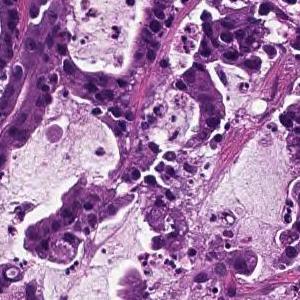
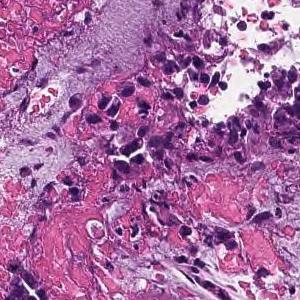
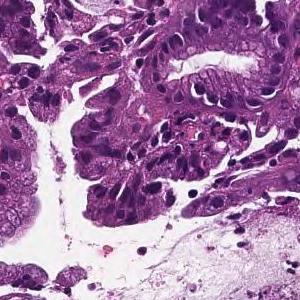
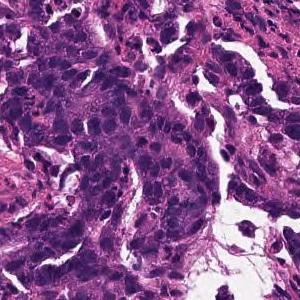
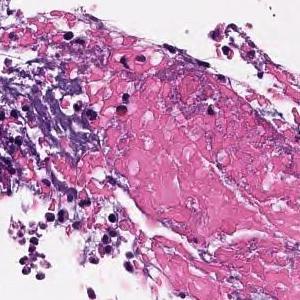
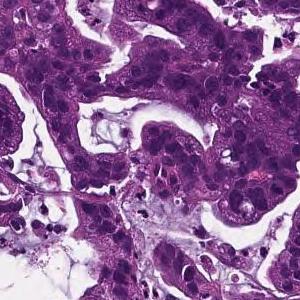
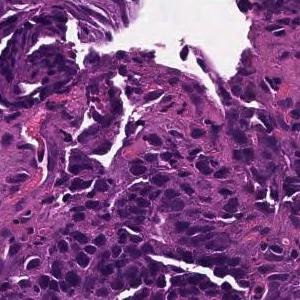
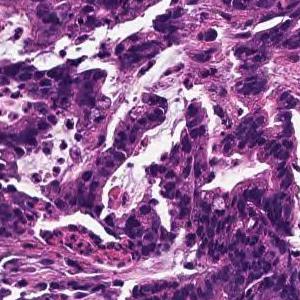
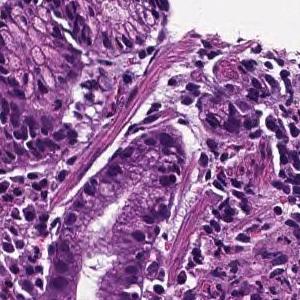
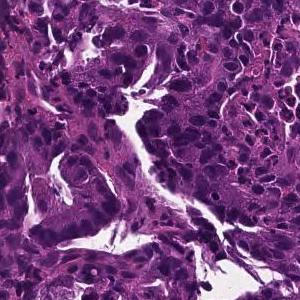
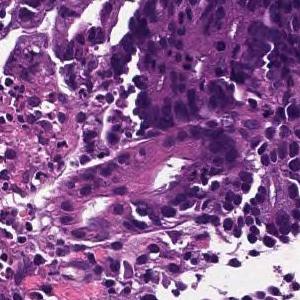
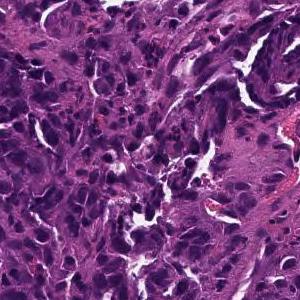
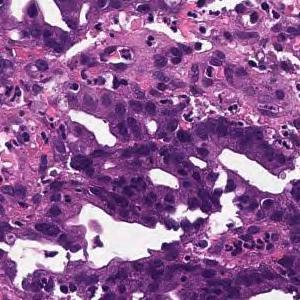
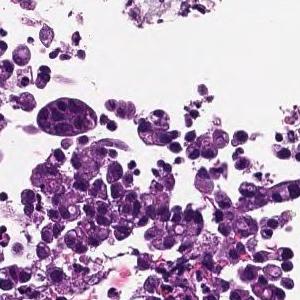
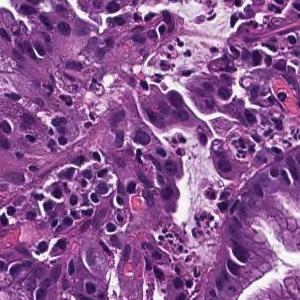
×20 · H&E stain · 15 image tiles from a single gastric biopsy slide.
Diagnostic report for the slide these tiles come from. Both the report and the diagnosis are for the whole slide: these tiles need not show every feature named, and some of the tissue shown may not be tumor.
On the superficial epithelium, tumor tissue consisting of large irregular glandular ducts partially fused and infiltrated is observed. Well to moderately differentiated tubular adenocarcinoma (well differentiated tubular adenocarcinoma, moderately differentiated tubular adenocarcinoma)
Tumor subtype: well to moderately differentiated tubular adenocarcinoma.
